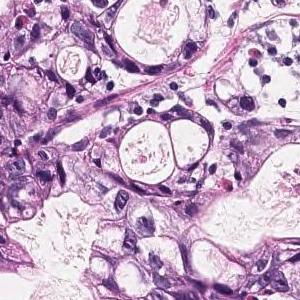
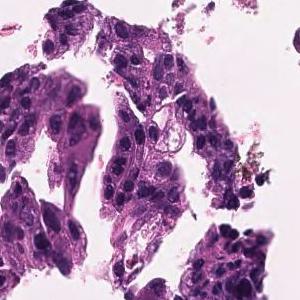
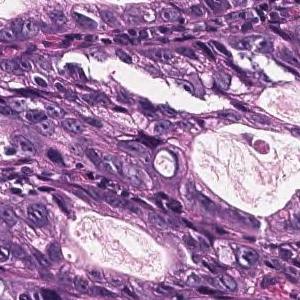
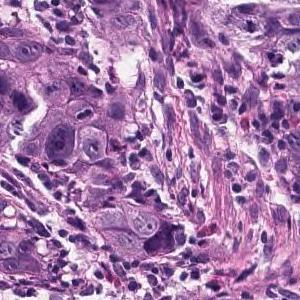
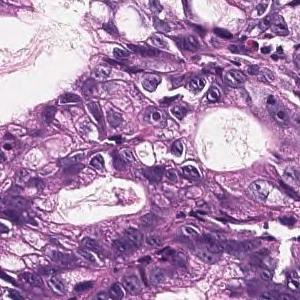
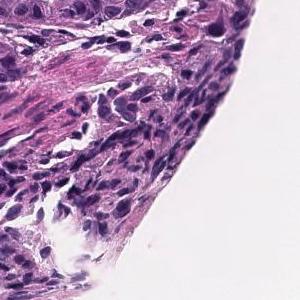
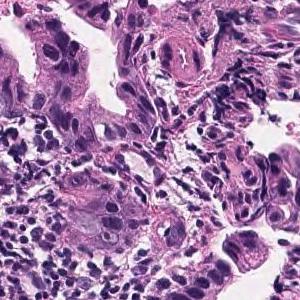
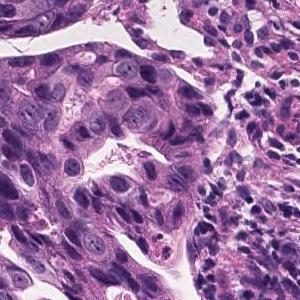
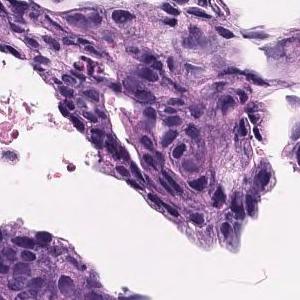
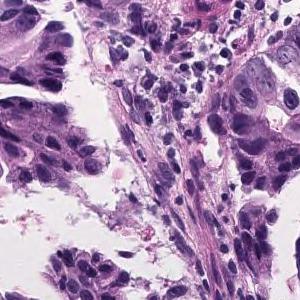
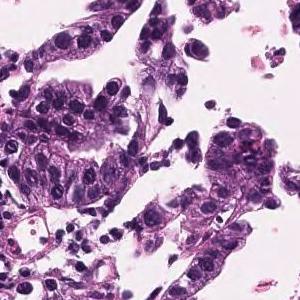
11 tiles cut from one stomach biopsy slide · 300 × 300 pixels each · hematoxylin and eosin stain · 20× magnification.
Pathology report for the slide these tiles were cut from. The report and the diagnosis describe the slide as a whole, so these tiles may not show every feature named and may include non-tumor tissue.
Tumor cells are large, highly columnar, large club-shaped nuclei, and are associated with chromatin aggregation. Papillary adenocarcinoma.
